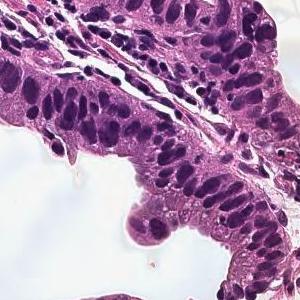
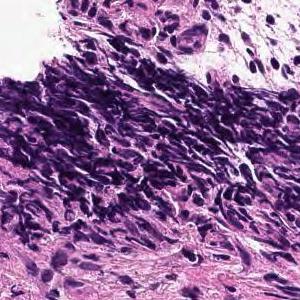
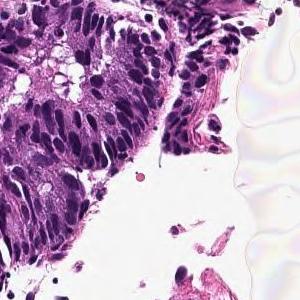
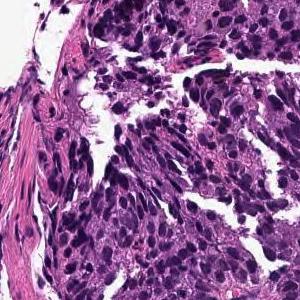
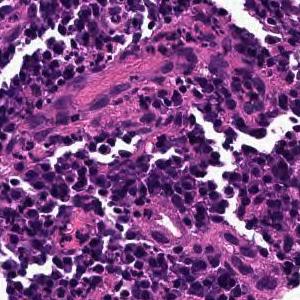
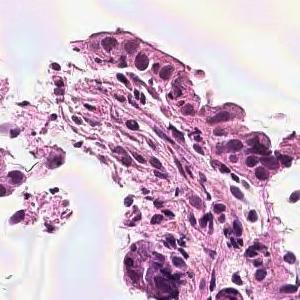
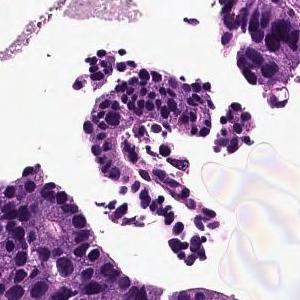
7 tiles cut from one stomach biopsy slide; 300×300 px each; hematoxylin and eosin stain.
Pathology report for the slide these tiles were cut from. The report describes the whole slide, diagnosis included: not every finding it names need appear in these tiles, which may also show non-tumor tissue.
On the superficial epithelium, tumor tissue that infiltrates by forming medium-sized papillary or small irregular ducts is observed. Papillary adenocarcinoma
